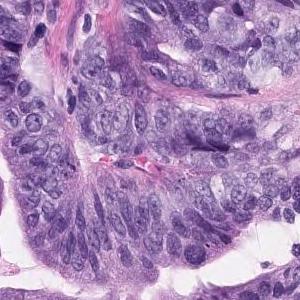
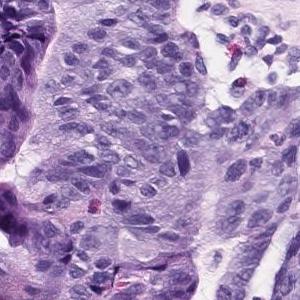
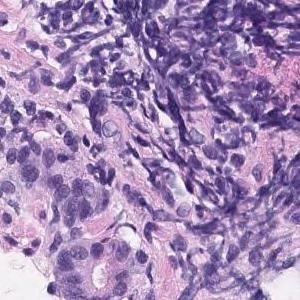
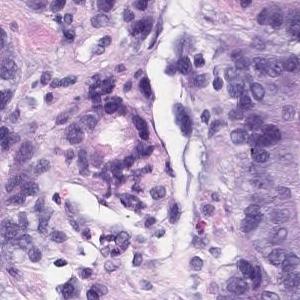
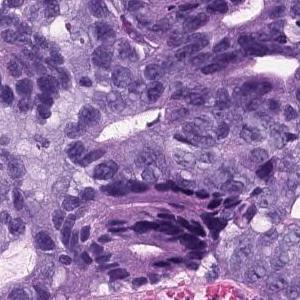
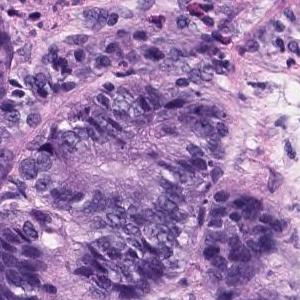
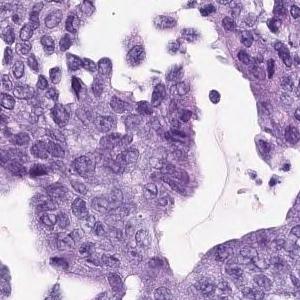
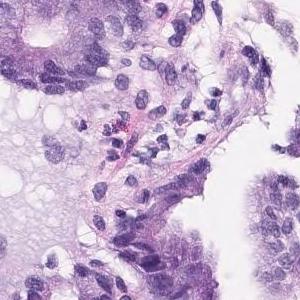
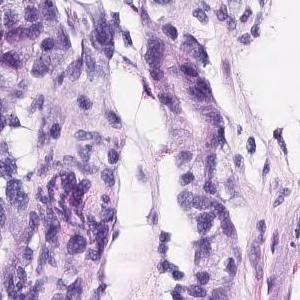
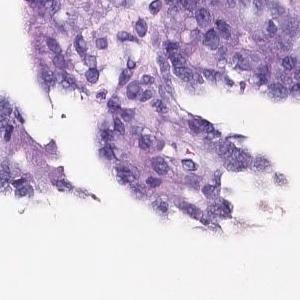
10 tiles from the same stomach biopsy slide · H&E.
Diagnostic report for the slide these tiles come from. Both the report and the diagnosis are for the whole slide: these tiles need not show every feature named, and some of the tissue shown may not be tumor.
In the superficial epithelium, tumor tissue that invades by forming medium-sized to small, irregular ducts is observed. Well to moderately differentiated tubular adenocarcinoma.
